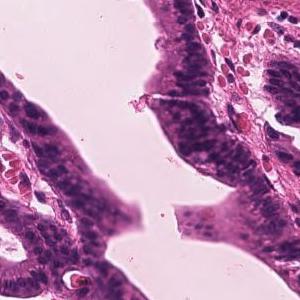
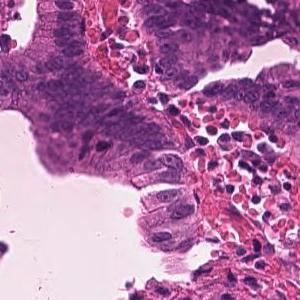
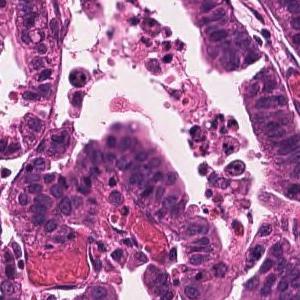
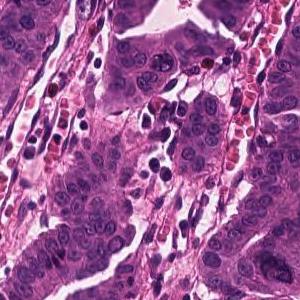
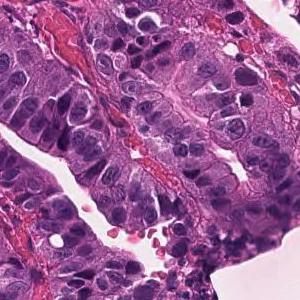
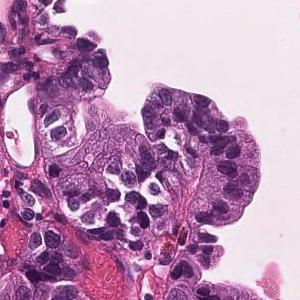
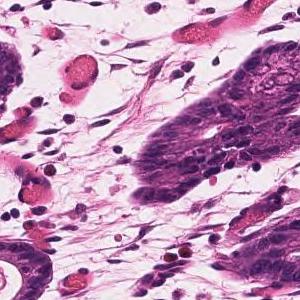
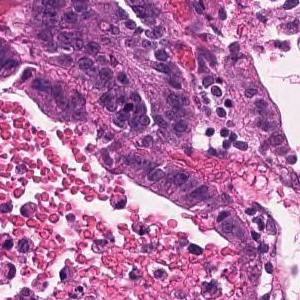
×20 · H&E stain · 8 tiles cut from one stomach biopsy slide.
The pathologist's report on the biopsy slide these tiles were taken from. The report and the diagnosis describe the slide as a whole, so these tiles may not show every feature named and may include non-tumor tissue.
Infiltrating tumor tissue with medium-sized, irregular ductal structure or large papillary appearance is observed. Well differentiated tubular adenocarcinoma
